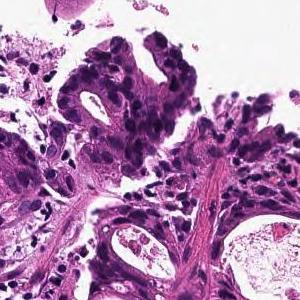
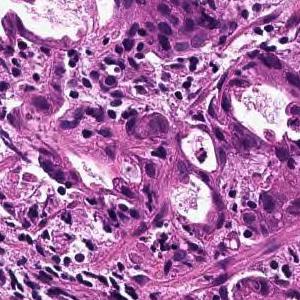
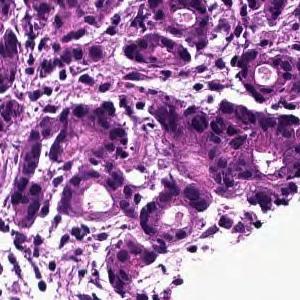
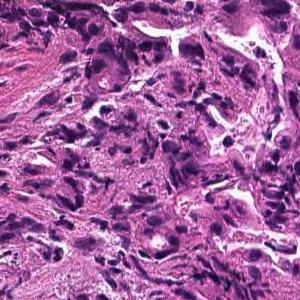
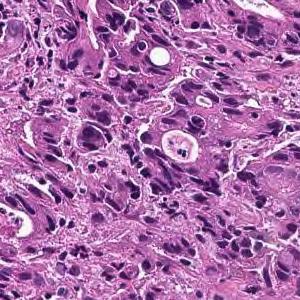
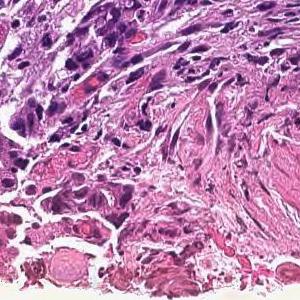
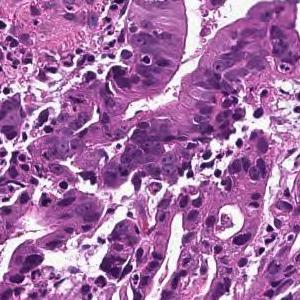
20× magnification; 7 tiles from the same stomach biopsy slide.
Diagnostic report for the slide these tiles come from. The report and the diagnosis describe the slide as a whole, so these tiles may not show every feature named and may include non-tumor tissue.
In the superficial epithelium, tumor tissue that invades by forming medium-sized to small, irregular ducts is observed. moderately differentiated tubular adenocarcinoma.
